×20, 7 patches cut from one gastric biopsy slide, each 300 × 300 pixels.
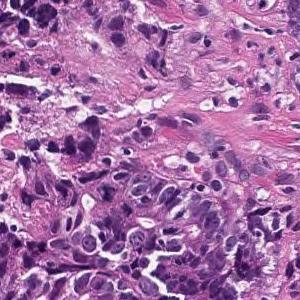
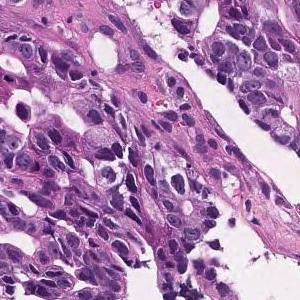
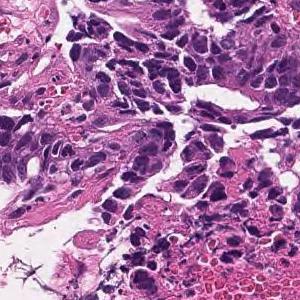
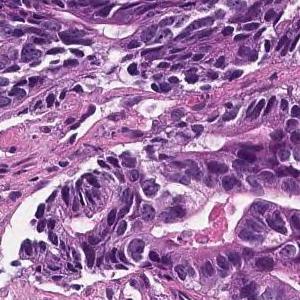
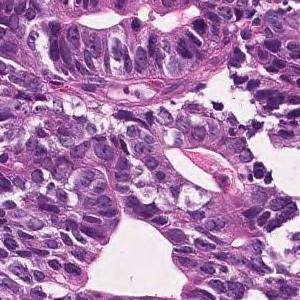
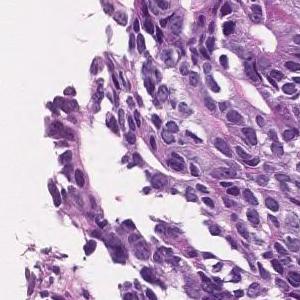
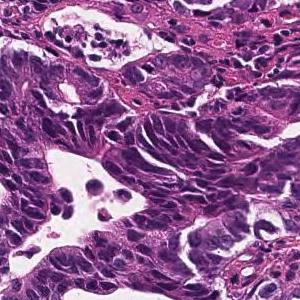
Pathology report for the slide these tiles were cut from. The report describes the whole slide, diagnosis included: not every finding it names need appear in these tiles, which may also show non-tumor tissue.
In the superficial epithelium, tumor tissue that invades by forming medium-sized to small, irregular ducts is observed. moderately differentiated tubular adenocarcinoma.
